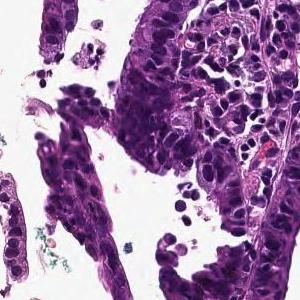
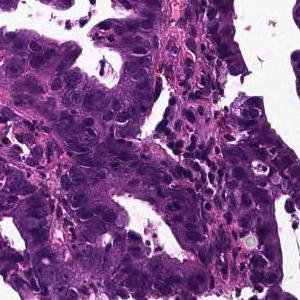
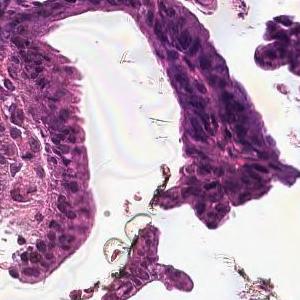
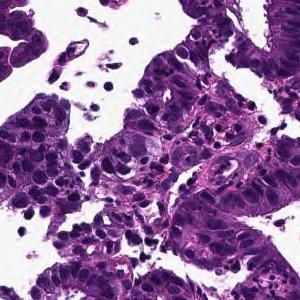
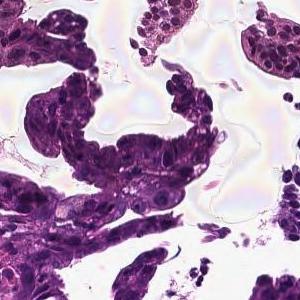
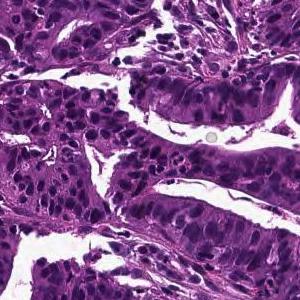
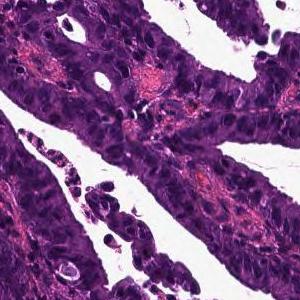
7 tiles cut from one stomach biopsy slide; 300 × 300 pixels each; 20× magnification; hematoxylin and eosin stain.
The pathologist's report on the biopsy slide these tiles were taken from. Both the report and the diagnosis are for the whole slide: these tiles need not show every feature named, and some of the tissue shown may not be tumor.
Tumor cells are large, highly columnar, large club-shaped nuclei, and are associated with chromatin aggregation. Papillary adenocarcinoma.
